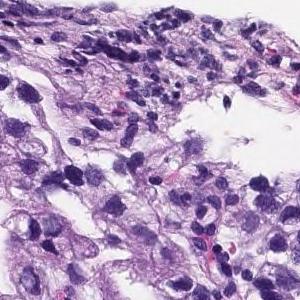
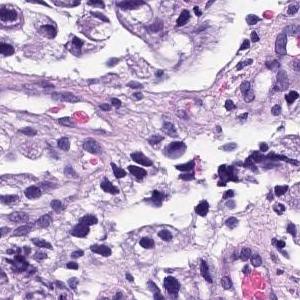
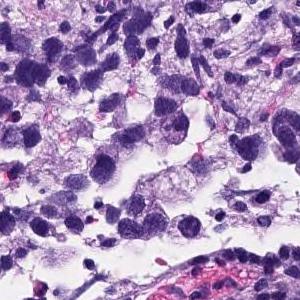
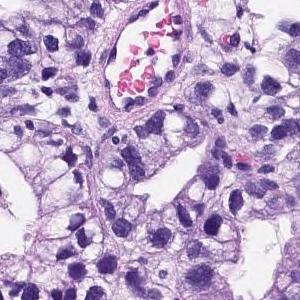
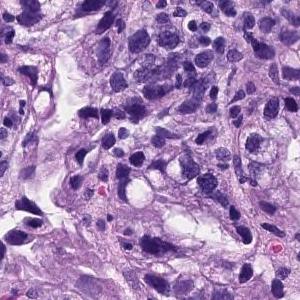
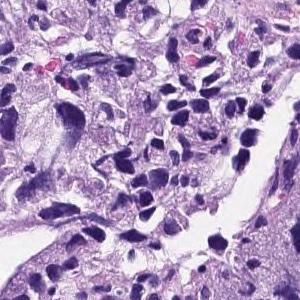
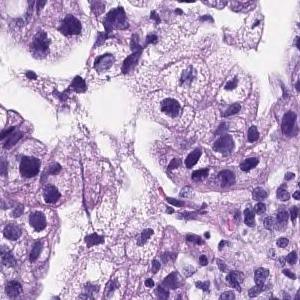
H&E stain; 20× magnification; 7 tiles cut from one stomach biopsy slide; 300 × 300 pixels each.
Pathology report for the biopsy slide these tiles were cut from. The report and the diagnosis describe the slide as a whole, so these tiles may not show every feature named and may include non-tumor tissue.
Medium to small, irregular glandular ducts are formed in the superficial epithelium, and in some cases, the glandular ducts are fused to show solid alveolar lesions and infiltrating tumor tissue is observed. Poorly differentiated adenocarcinoma, Moderately differentiated adenocarcinoma.
Labeled in the dataset as moderately differentiated tubular adenocarcinoma.
